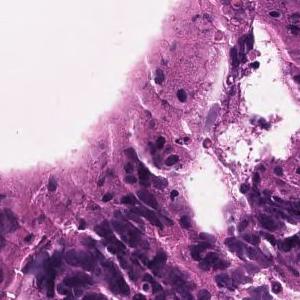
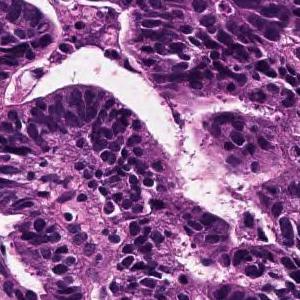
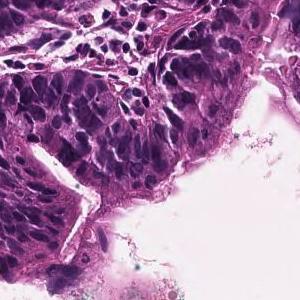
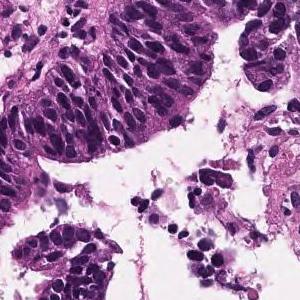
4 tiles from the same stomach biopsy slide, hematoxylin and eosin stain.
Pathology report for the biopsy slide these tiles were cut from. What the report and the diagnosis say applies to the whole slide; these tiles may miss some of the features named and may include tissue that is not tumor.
In the superficial epithelium, tumor tissue that invades by forming medium-sized to small, irregular ducts is observed. Well differentiated tubular adenocarcinoma.
